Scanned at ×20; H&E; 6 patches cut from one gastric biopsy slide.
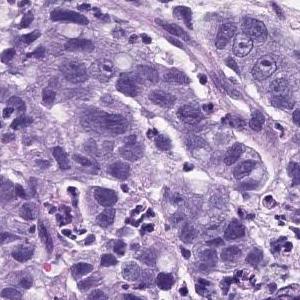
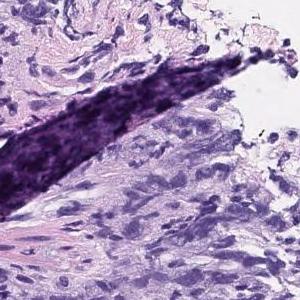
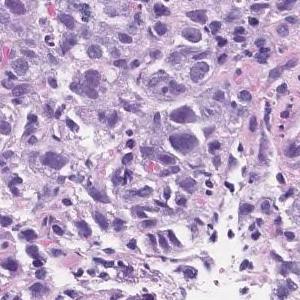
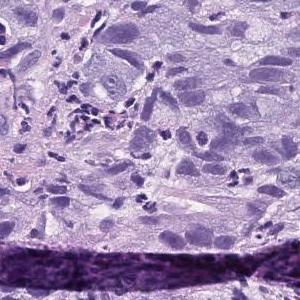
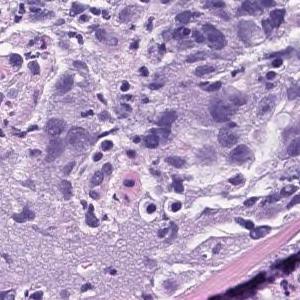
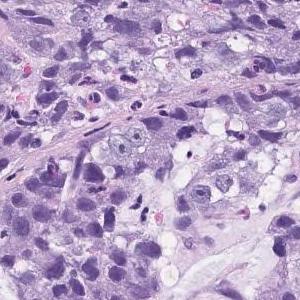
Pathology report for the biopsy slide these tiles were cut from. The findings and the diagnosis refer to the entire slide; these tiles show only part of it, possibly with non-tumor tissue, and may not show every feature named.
Atypical l cells with atypical nuclei forming solid vesicles or small irregular atypical ducts that proliferate in a complex manner. poorly differentiated adenocarcinoma, solid type, moderately differentiated tubular adenocarcinoma
The solid type named here is a Japanese Classification of Gastric Carcinoma category; WHO 2019 calls it tubular adenocarcinoma, poorly differentiated.
